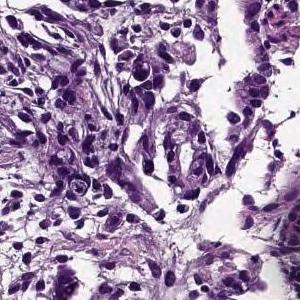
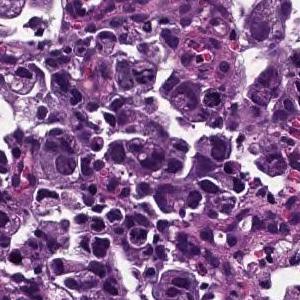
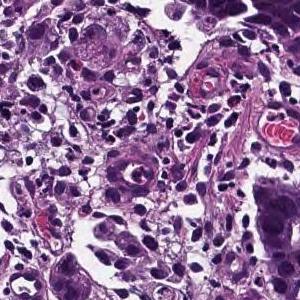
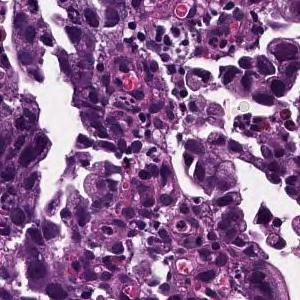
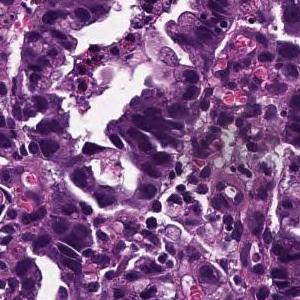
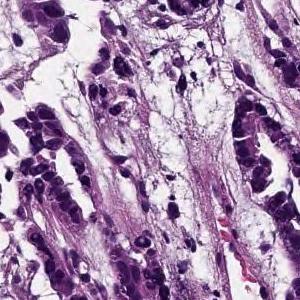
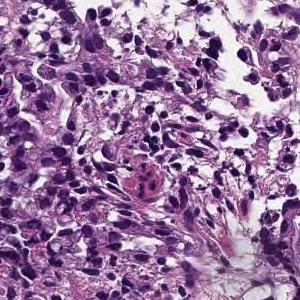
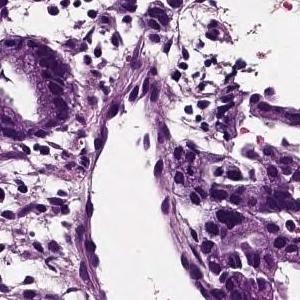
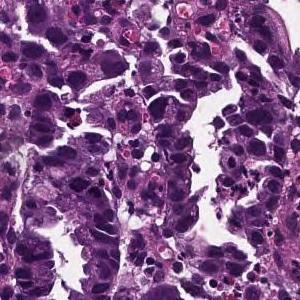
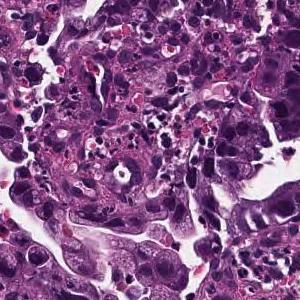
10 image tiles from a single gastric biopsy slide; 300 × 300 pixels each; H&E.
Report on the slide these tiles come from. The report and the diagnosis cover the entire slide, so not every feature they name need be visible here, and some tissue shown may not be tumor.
Medium to small, irregular glandular ducts are formed in the superficial epithelium, and in some cases, the glandular ducts are fused to show solid alveolar lesions and infiltrating tumor tissue is observed. Moderately to poorly differentiated adenocarcinoma.
